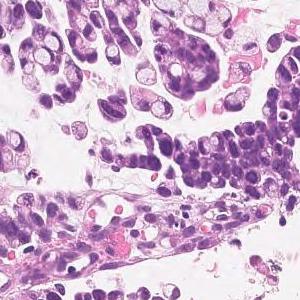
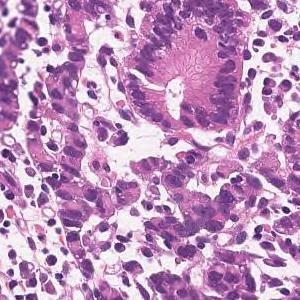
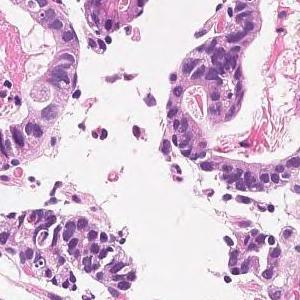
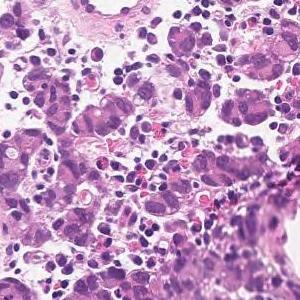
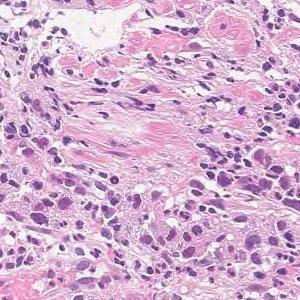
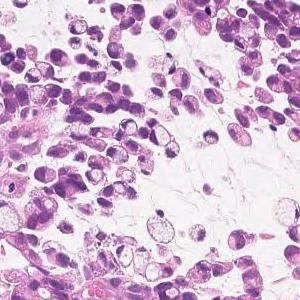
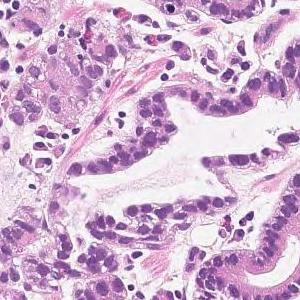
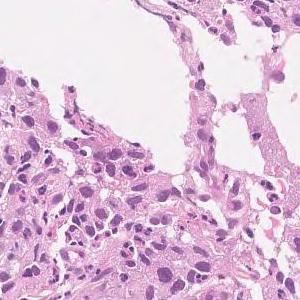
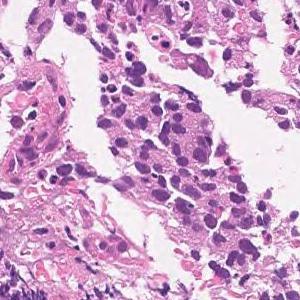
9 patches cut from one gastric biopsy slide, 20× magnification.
Pathology report for the slide these tiles were cut from. The report and the diagnosis describe the slide as a whole, so these tiles may not show every feature named and may include non-tumor tissue.
Medium to small, irregular glandular ducts are formed in the superficial epithelium, and in some cases, the glandular ducts are fused to show solid alveolar lesions and infiltrating tumor tissue is observed. Moderately to poorly differentiated adenocarcinoma.
